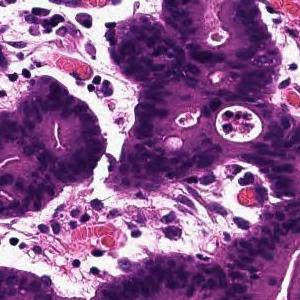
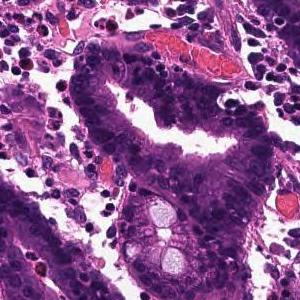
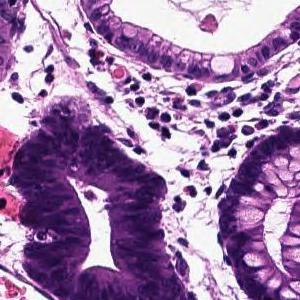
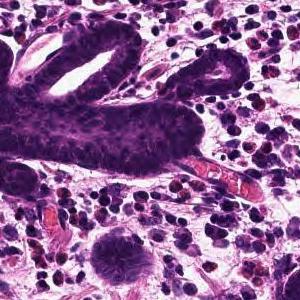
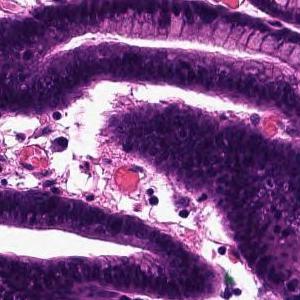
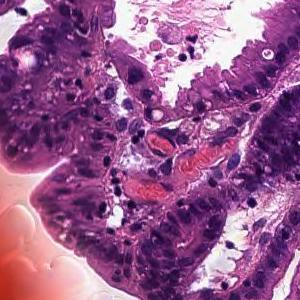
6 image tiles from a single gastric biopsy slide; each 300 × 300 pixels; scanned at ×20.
The pathologist's report on the biopsy slide these tiles were taken from. Both the report and the diagnosis are for the whole slide: these tiles need not show every feature named, and some of the tissue shown may not be tumor.
Tumor tissue that infiltrates by forming large papillary or large irregular glandular ducts is observed confined to the mucosa. Papillary adenocarcinoma
